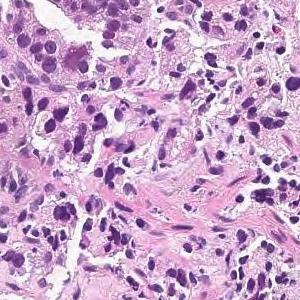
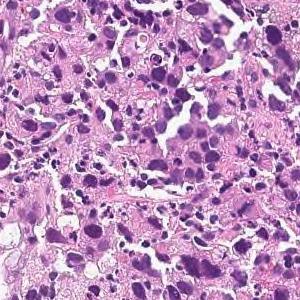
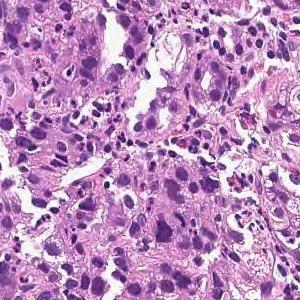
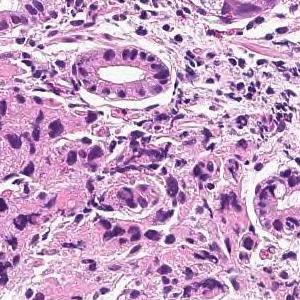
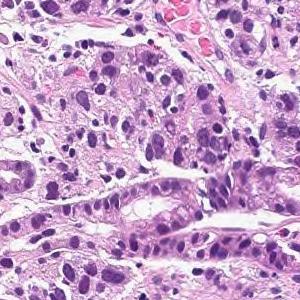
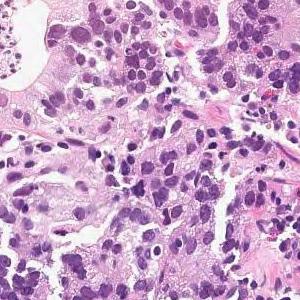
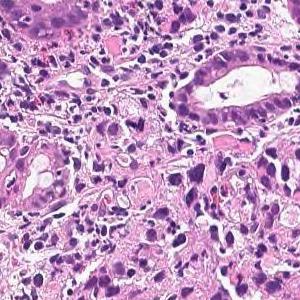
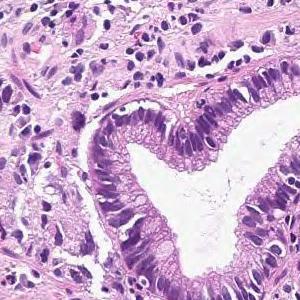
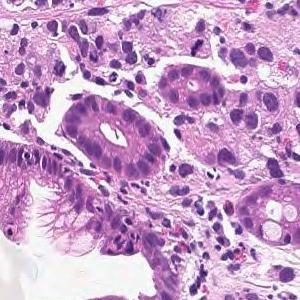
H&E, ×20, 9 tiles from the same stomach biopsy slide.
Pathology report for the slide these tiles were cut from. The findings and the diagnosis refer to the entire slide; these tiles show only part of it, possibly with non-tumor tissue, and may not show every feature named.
Tumor tissue consisting of medium-sized, cord-like or irregular glandular infiltration is observed in the superficial epithelium. Poorly differentiated adenocarcinoma, non-solid type or moderately differentiated tubular adenocarcinoma (moderately differentiated tubular adenocarcinoma)
The dataset labels this slide moderately differentiated tubular adenocarcinoma.
"Non-solid type" is a category of the Japanese Classification of Gastric Carcinoma.
